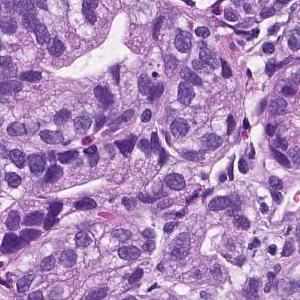
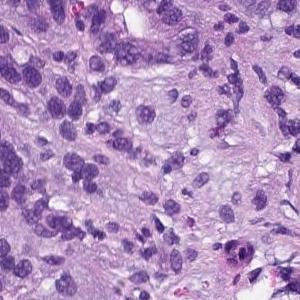
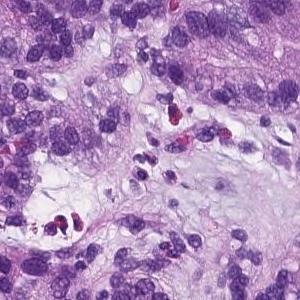
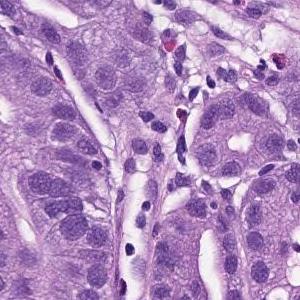
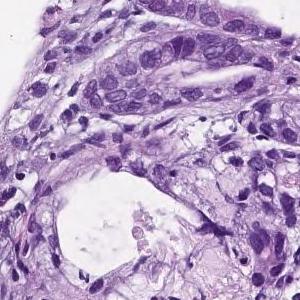
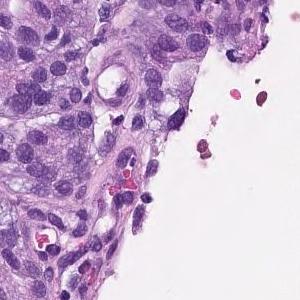
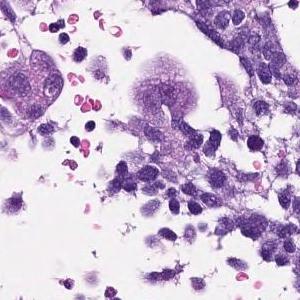
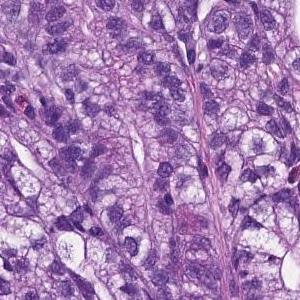
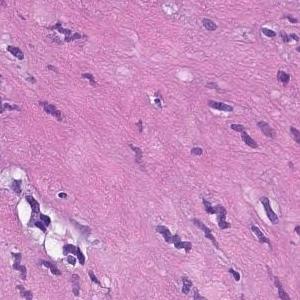
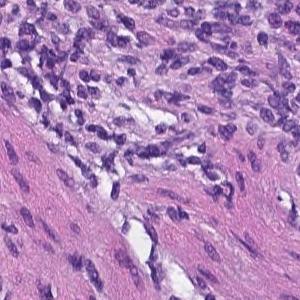
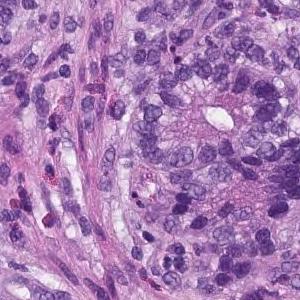
20× magnification · hematoxylin and eosin stain · 11 patches cut from one gastric biopsy slide.
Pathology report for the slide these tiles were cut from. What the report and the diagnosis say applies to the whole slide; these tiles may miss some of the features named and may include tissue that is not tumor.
From the superficial epithelium to the muscularis mucosae, tumor tissue consisting of medium-sized and irregular glandular ducts infiltrating is observed. Well differentiated tubular adenocarcinoma
